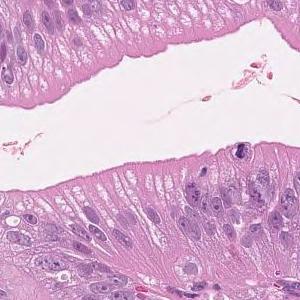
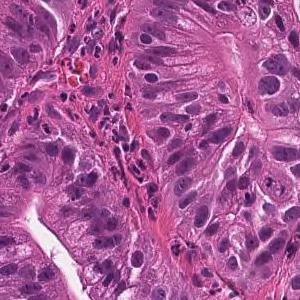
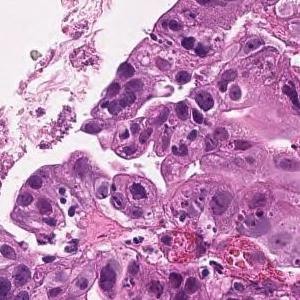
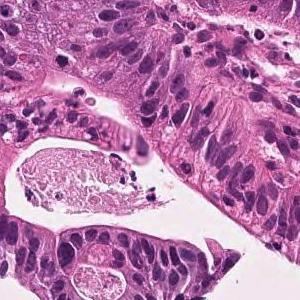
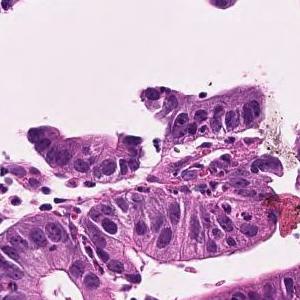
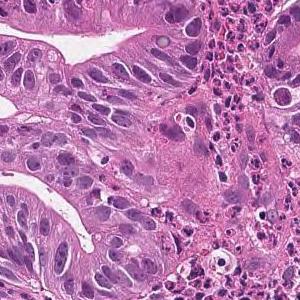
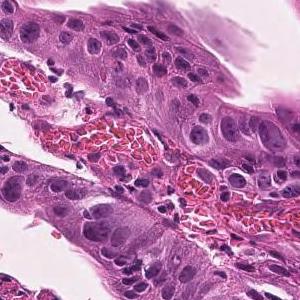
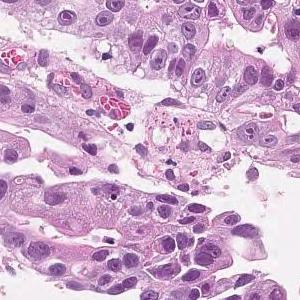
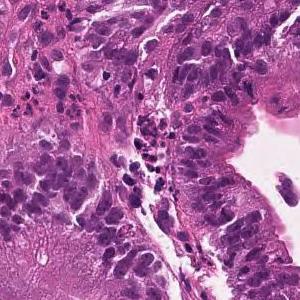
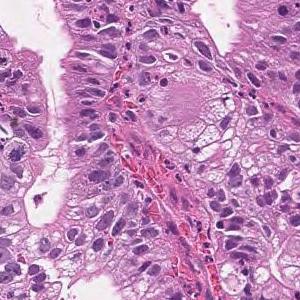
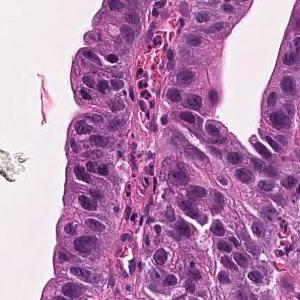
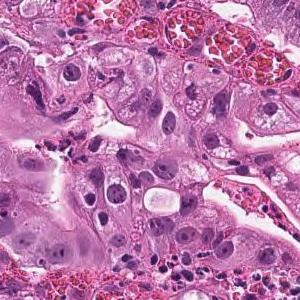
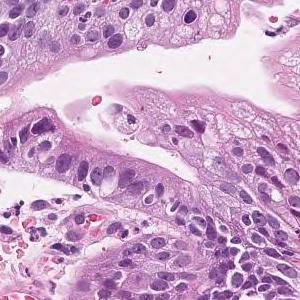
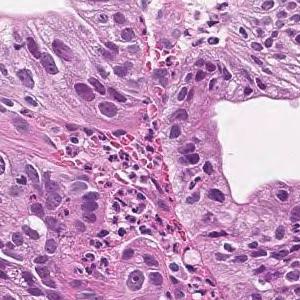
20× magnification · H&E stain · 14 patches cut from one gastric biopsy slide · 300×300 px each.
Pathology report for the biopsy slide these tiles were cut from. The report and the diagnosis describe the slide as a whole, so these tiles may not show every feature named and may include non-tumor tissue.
Tumor cells are large, highly columnar, large club-shaped nuclei, and are associated with chromatin aggregation. Papillary adenocarcinoma.
